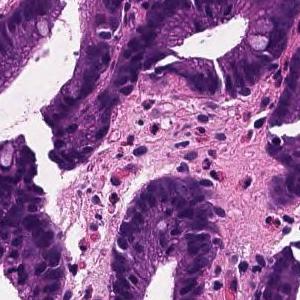
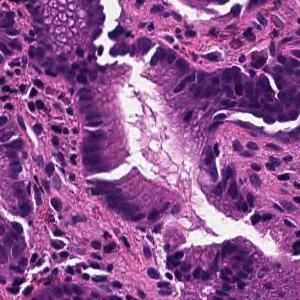
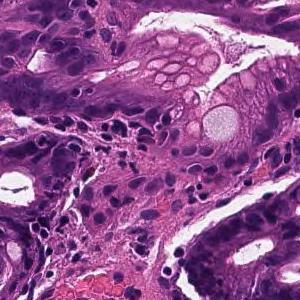
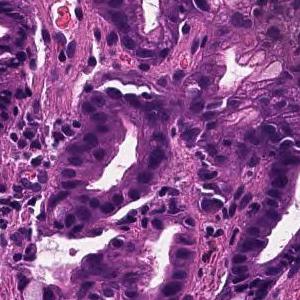
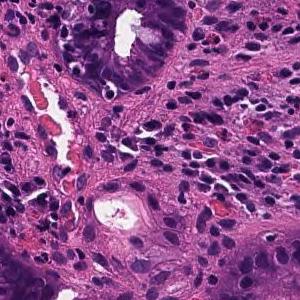
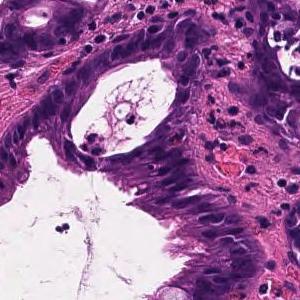
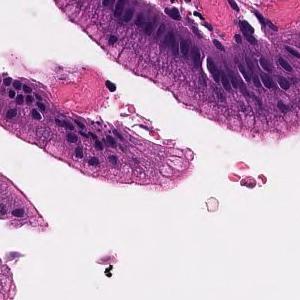
7 patches cut from one gastric biopsy slide; H&E stain; scanned at ×20.
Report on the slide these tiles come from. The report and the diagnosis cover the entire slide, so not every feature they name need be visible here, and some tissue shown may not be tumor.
From the superficial epithelium to the muscularis mucosae, tumor tissue consisting of medium-sized and irregular glandular ducts infiltrating is observed. Well differentiated tubular adenocarcinoma
